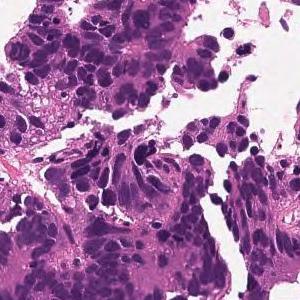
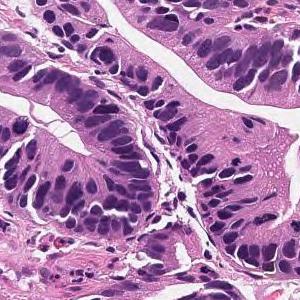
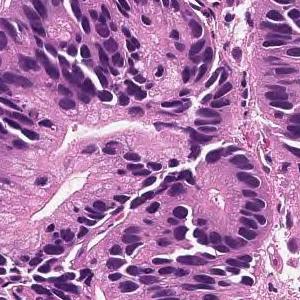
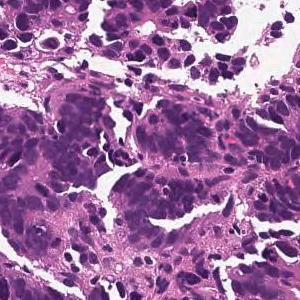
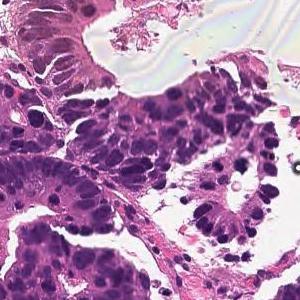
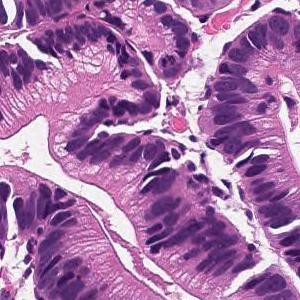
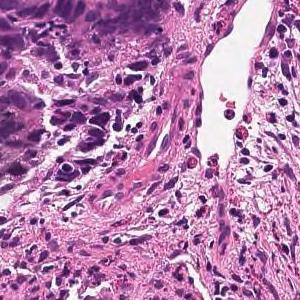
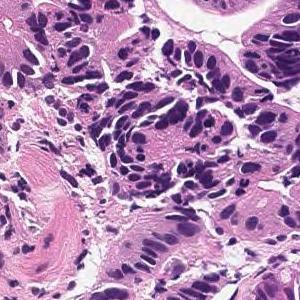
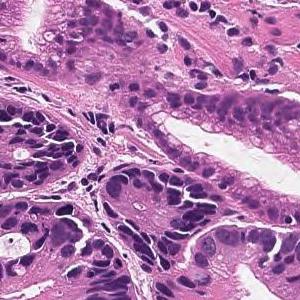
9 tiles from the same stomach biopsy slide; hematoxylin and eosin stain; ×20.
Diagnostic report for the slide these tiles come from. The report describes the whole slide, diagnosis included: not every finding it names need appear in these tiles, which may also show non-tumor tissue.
Tumor cells are large, highly columnar, large club-shaped nuclei, and are associated with chromatin aggregation. Papillary adenocarcinoma.
